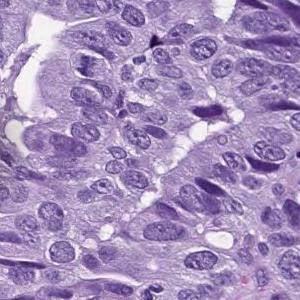
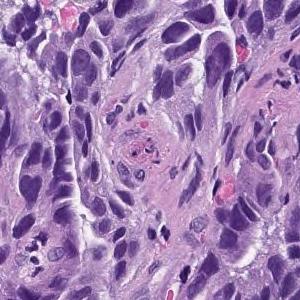
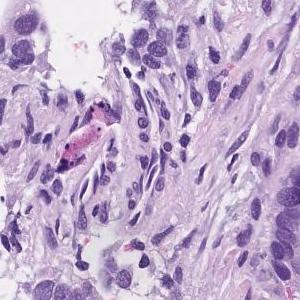
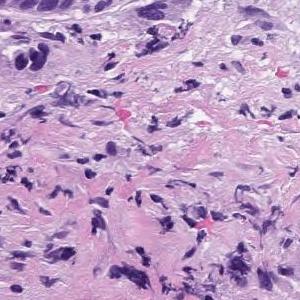
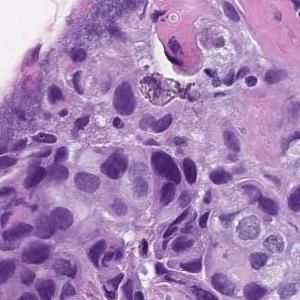
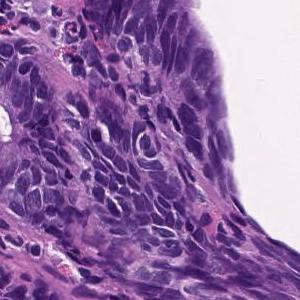
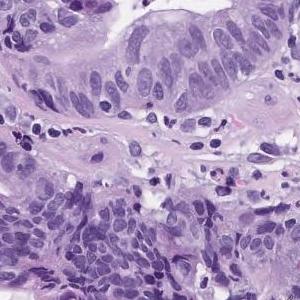
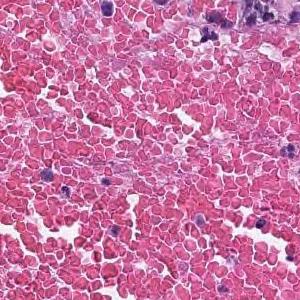
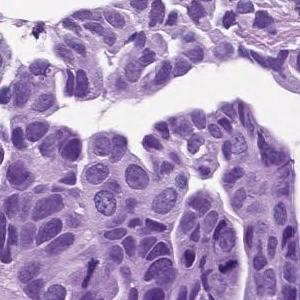
9 tiles cut from one stomach biopsy slide · ×20.
Report on the slide these tiles come from. The report describes the whole slide, diagnosis included: not every finding it names need appear in these tiles, which may also show non-tumor tissue.
In the superficial epithelium, tumor tissue that invades by forming medium-sized to small, irregular ducts is observed. moderately differentiated tubular adenocarcinoma.
